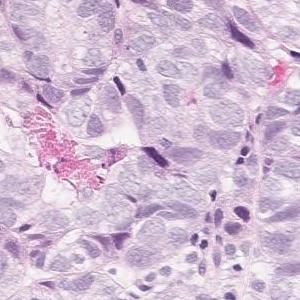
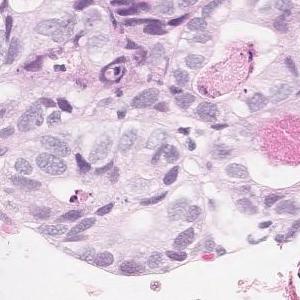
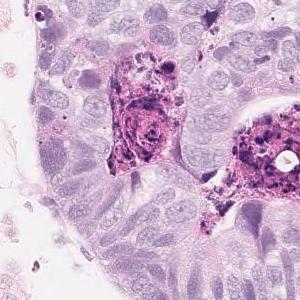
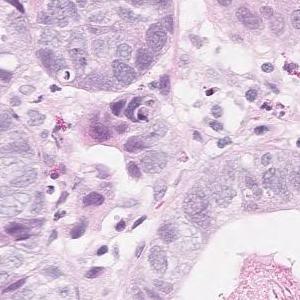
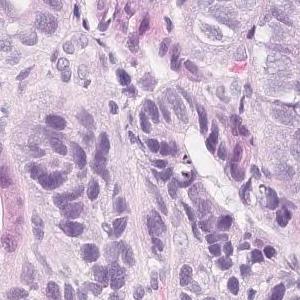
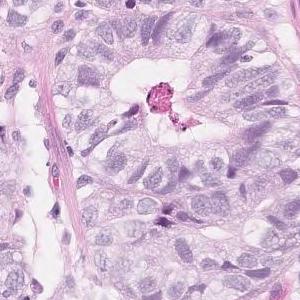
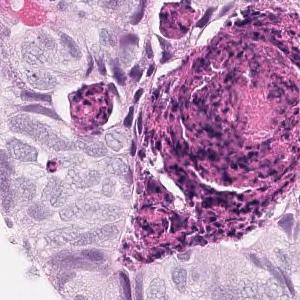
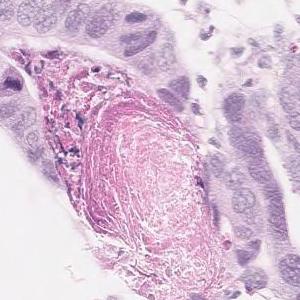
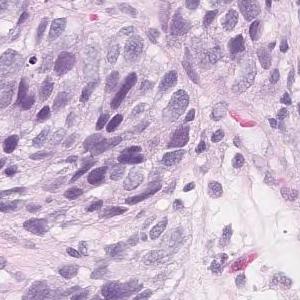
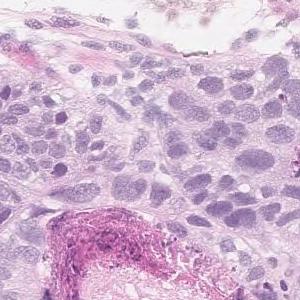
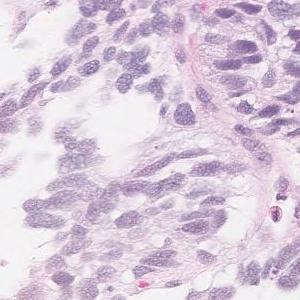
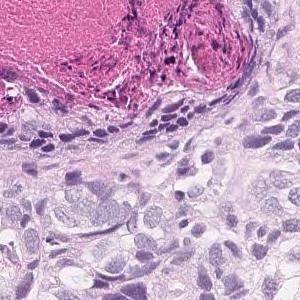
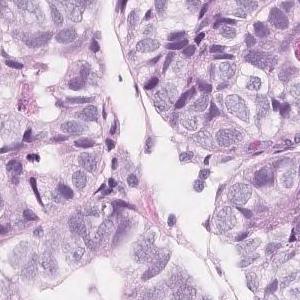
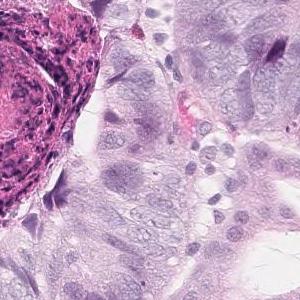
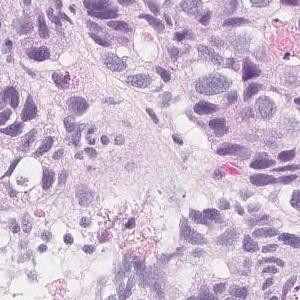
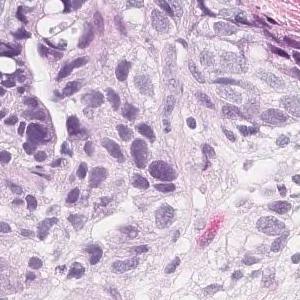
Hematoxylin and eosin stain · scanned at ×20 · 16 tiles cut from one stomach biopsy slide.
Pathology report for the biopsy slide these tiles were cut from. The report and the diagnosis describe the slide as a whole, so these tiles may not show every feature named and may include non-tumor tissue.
In the superficial epithelium, tumor tissue that invades by forming medium-sized to small, irregular ducts is observed. Moderately differentiated adenocarcinoma.
Tumor subtype: moderately differentiated tubular adenocarcinoma.
